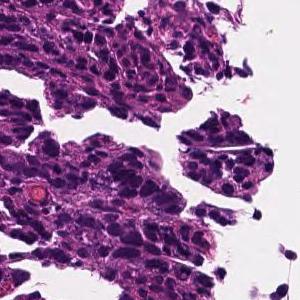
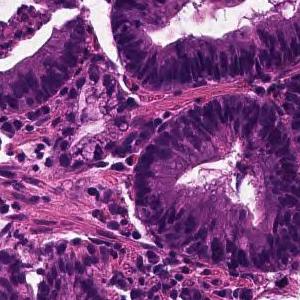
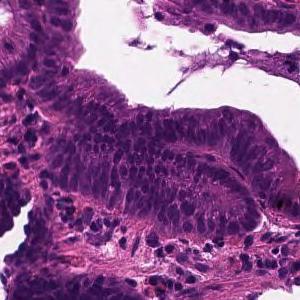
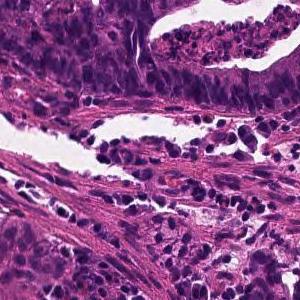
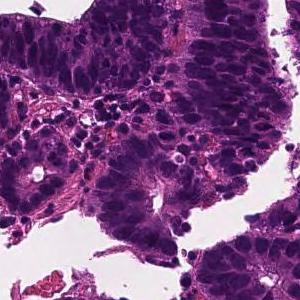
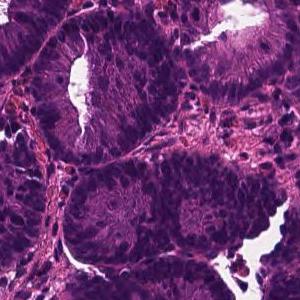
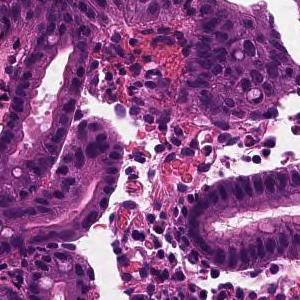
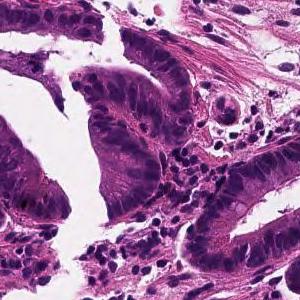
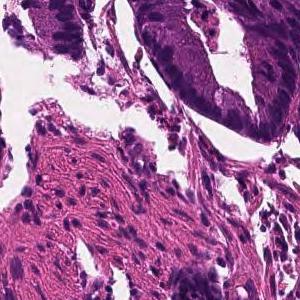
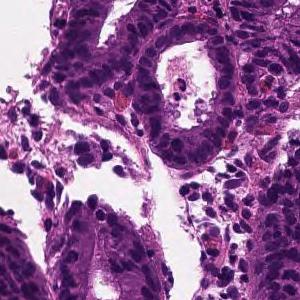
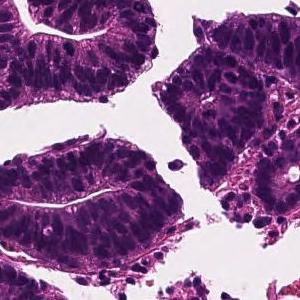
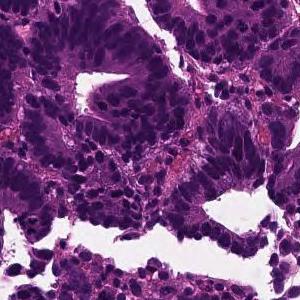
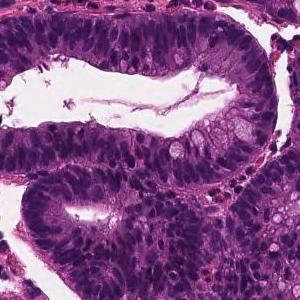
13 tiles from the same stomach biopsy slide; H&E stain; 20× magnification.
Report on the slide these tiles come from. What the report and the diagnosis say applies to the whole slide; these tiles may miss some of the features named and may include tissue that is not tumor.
From the superficial epithelium to the muscularis mucosae, tumor tissue consisting of medium-sized and irregular glandular ducts infiltrating is observed. Well differentiated tubular adenocarcinoma
